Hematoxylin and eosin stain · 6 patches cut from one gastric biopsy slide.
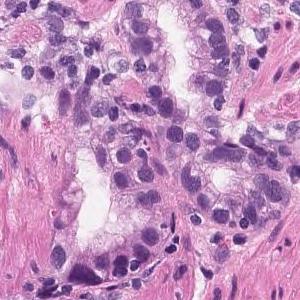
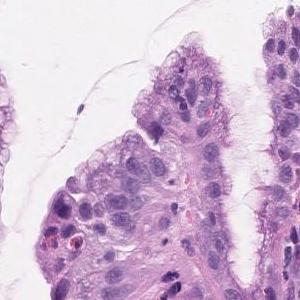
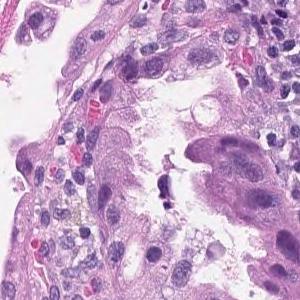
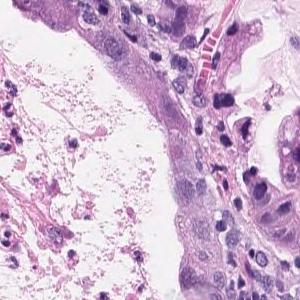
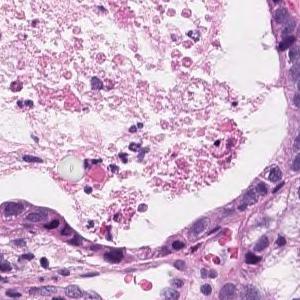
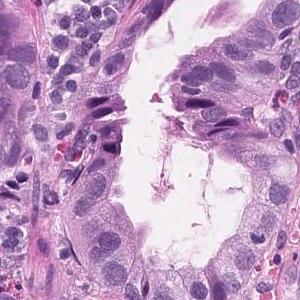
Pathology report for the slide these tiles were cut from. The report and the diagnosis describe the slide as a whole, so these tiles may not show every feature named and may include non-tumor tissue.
Tumor tissue consisting of medium-sized and irregular ducts is observed infiltrating in the superficial epithelium. Tumor cells are highly columnar, with nuclei aligned basolaterally and polarized. Well differentiated tubular adenocarcinoma.
